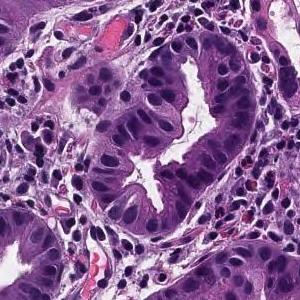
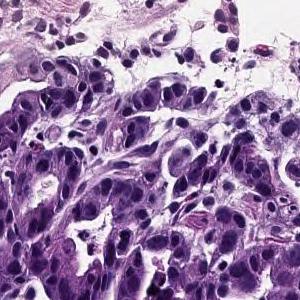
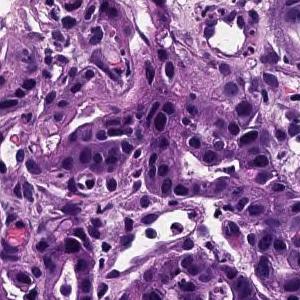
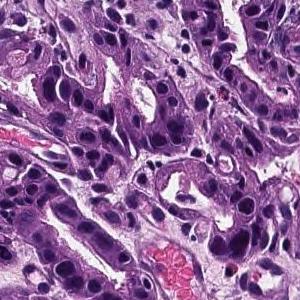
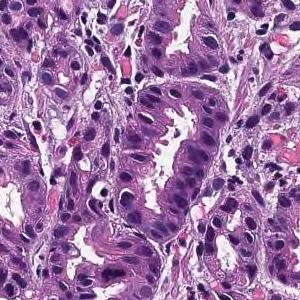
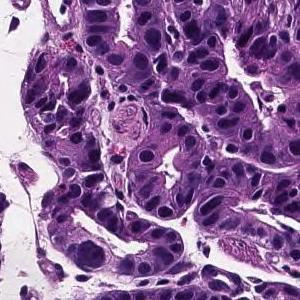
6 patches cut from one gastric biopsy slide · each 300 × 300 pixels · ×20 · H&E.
Pathology report for the slide these tiles were cut from. The report and the diagnosis describe the slide as a whole, so these tiles may not show every feature named and may include non-tumor tissue.
From the superficial epithelium to the muscularis mucosae, tumor tissue consisting of medium-sized and irregular glandular ducts infiltrating is observed. Well differentiated tubular adenocarcinoma
